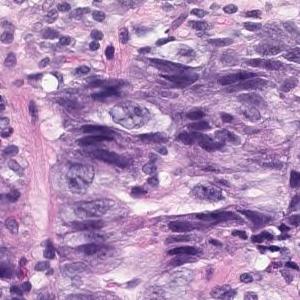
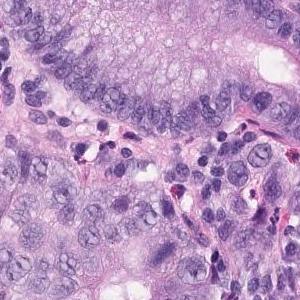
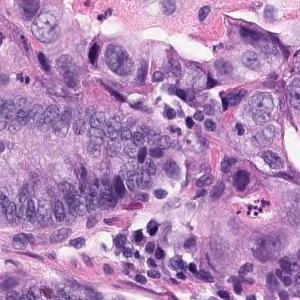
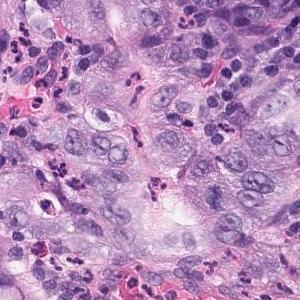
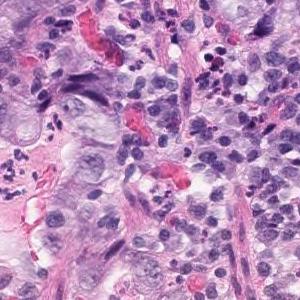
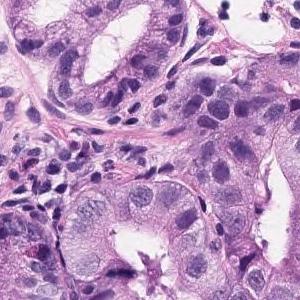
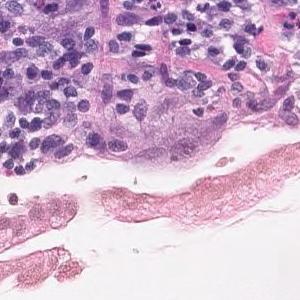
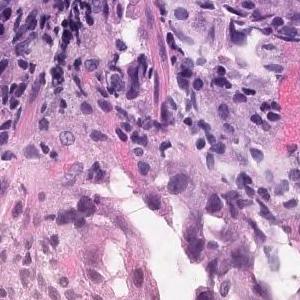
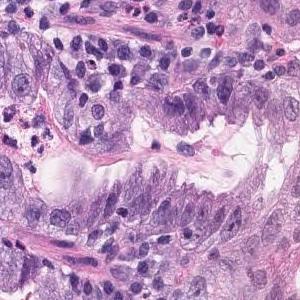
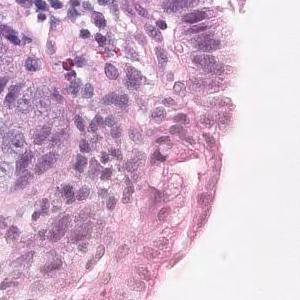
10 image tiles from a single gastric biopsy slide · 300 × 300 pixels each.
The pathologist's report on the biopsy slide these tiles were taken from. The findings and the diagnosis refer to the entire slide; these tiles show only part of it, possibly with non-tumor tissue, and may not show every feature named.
In the superficial epithelium, tumor tissue that invades by forming medium-sized to small irregular glandular ducts is observed. Moderately differentiated adenocarcinoma.
Subtype: Moderately differentiated tubular adenocarcinoma.
